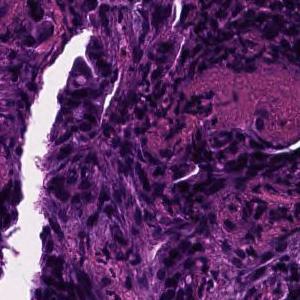
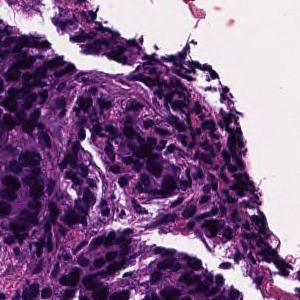
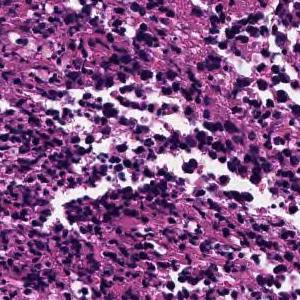
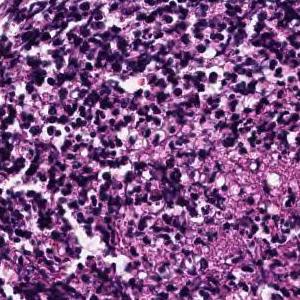
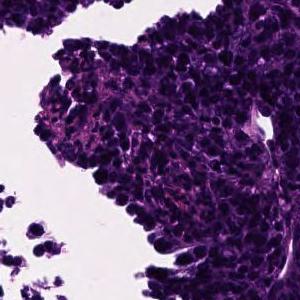
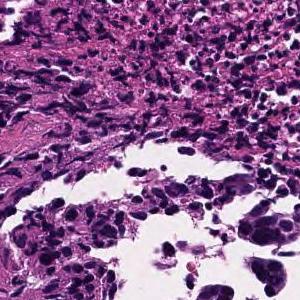
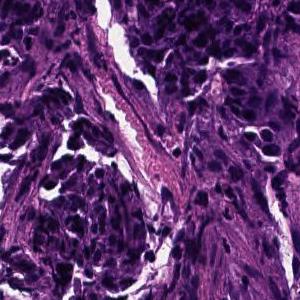
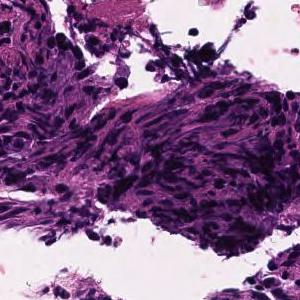
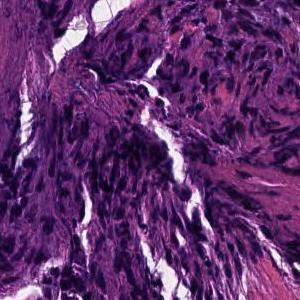
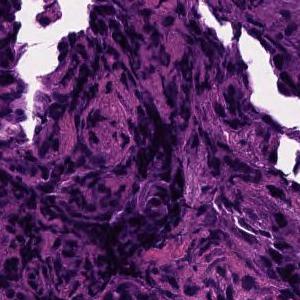
Scanned at ×20, H&E, 10 patches cut from one gastric biopsy slide.
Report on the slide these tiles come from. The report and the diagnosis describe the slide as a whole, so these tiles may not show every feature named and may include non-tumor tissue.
In the superficial epithelium, tumor tissue that invades by forming medium-sized to small, irregular ducts is observed. moderately differentiated tubular adenocarcinoma.
